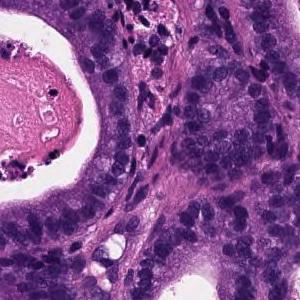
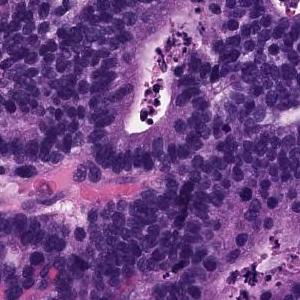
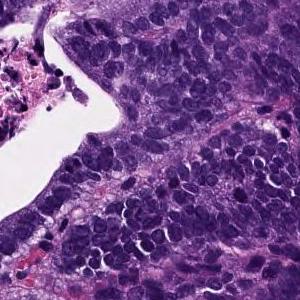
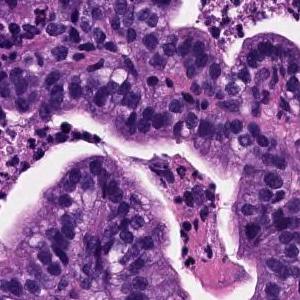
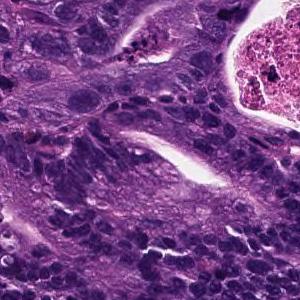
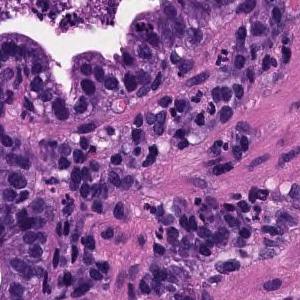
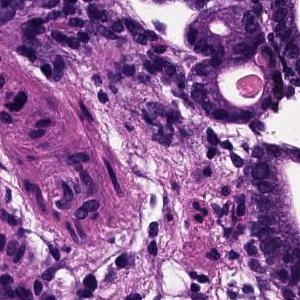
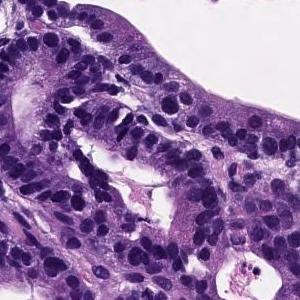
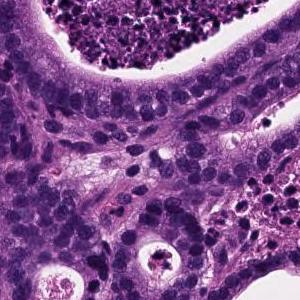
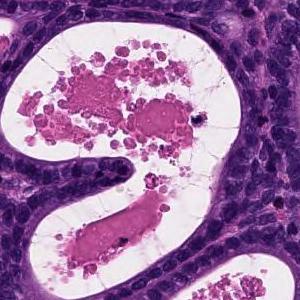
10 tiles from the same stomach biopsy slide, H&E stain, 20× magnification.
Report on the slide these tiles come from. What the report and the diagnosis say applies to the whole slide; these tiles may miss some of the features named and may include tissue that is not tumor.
From the superficial epithelium to the muscularis mucosae, tumor tissue consisting of medium-sized and irregular glandular ducts infiltrating is observed. Well differentiated tubular adenocarcinoma
